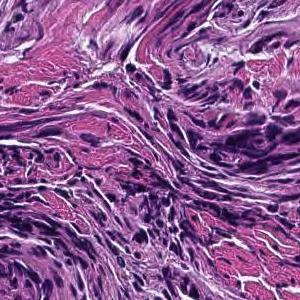
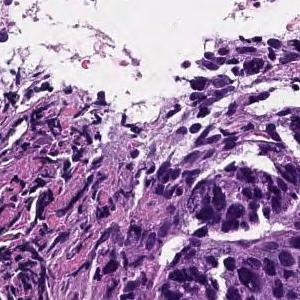
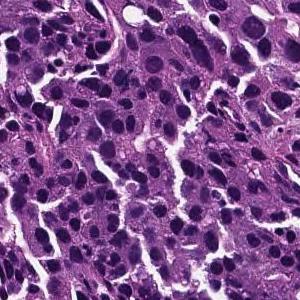
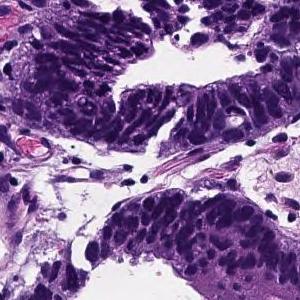
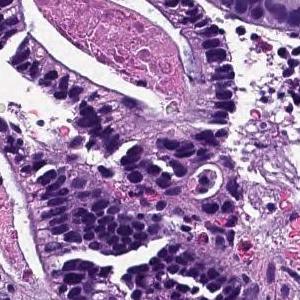
5 patches cut from one gastric biopsy slide, hematoxylin and eosin stain.
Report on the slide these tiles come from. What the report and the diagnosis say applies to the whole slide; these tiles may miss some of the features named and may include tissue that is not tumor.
From the superficial epithelium to the muscularis mucosae, tumor tissue consisting of medium-sized and irregular glandular ducts infiltrating is observed. Well differentiated tubular adenocarcinoma
